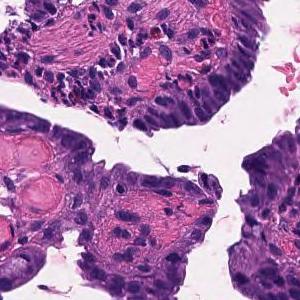
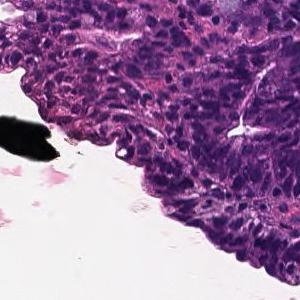
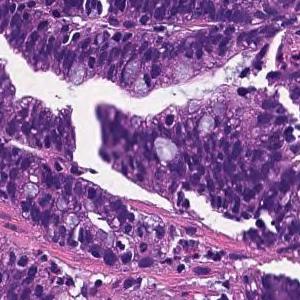
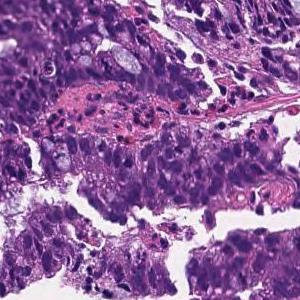
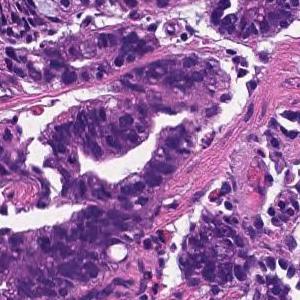
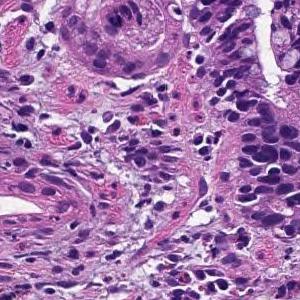
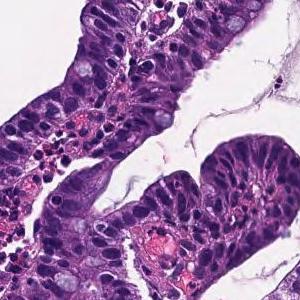
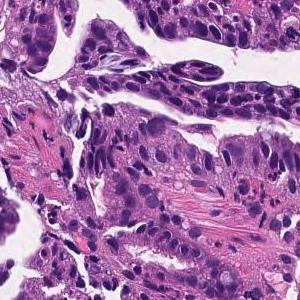
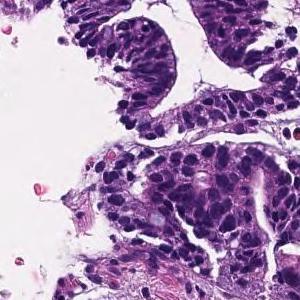
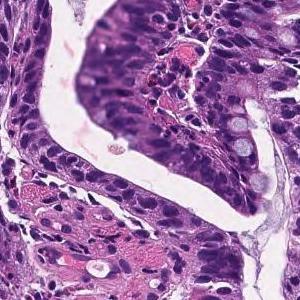
H&E · 10 tiles cut from one stomach biopsy slide · 300×300 px each.
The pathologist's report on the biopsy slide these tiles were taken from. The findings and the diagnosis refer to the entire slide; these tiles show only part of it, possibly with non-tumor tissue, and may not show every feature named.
Tumor cells are large, highly columnar, large club-shaped nuclei, and are associated with chromatin aggregation. Papillary adenocarcinoma.
